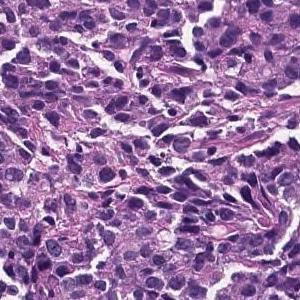
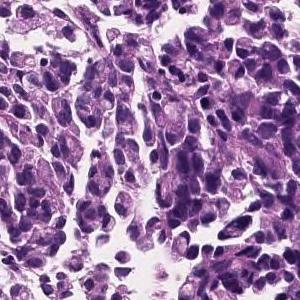
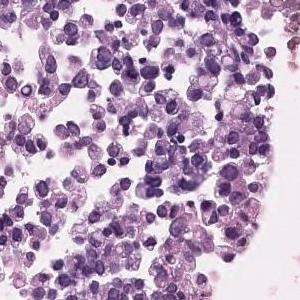
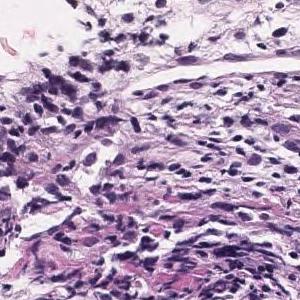
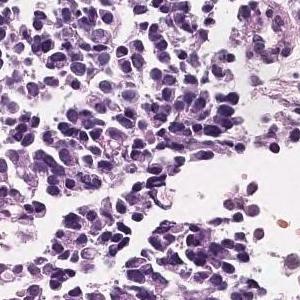
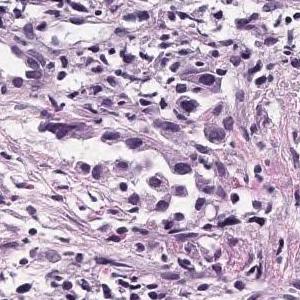
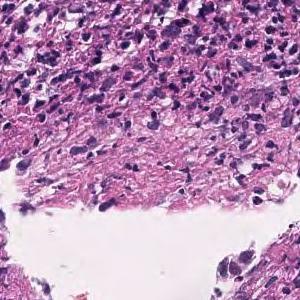
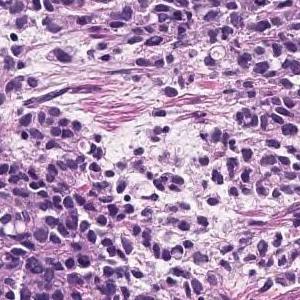
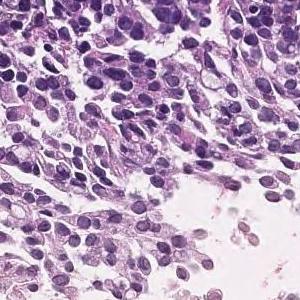
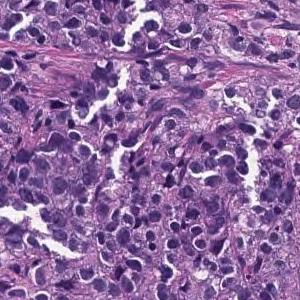
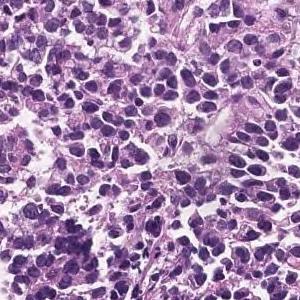
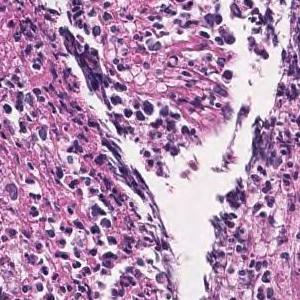
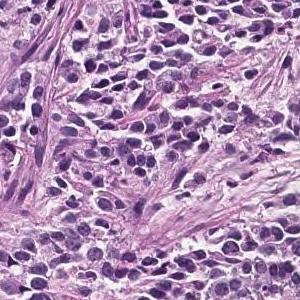
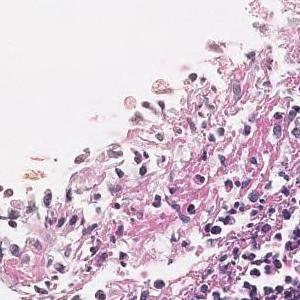
14 image tiles from a single gastric biopsy slide · ×20.
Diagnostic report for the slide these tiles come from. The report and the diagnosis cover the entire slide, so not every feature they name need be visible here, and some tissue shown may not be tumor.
The superficial epithelium shows a large sheet-like shape, and some tumor tissue infiltrates with small irregular ducts. Poorly differentiated adenocarcinoma, solid-type
Tumor subtype: poorly differentiated adenocarcinoma, solid type, a category of the Japanese Classification of Gastric Carcinoma; in the WHO 2019 classification it is tubular adenocarcinoma, poorly differentiated.
